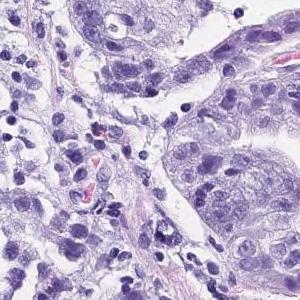
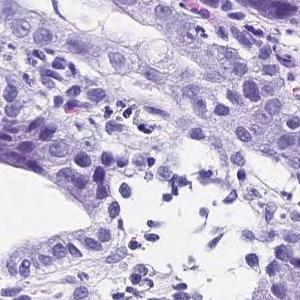
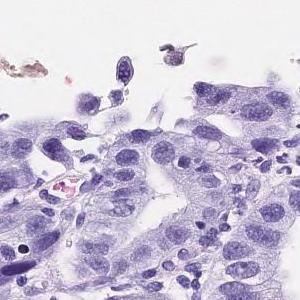
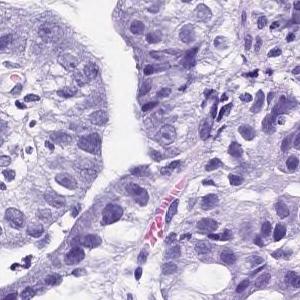
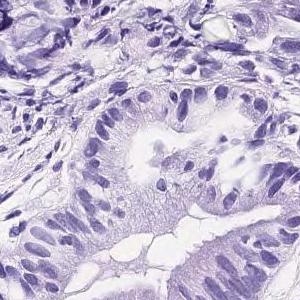
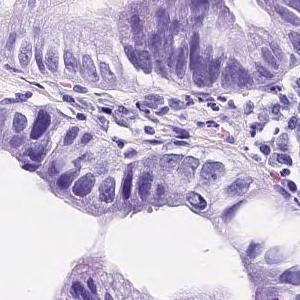
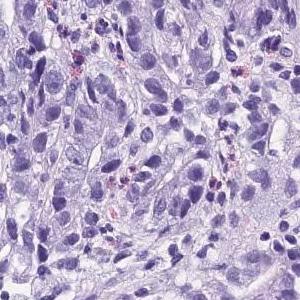
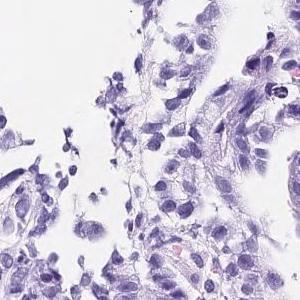
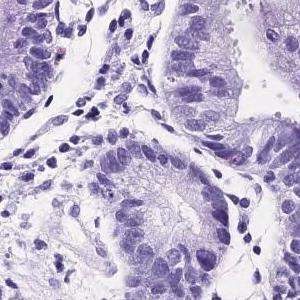
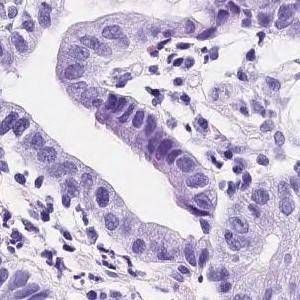
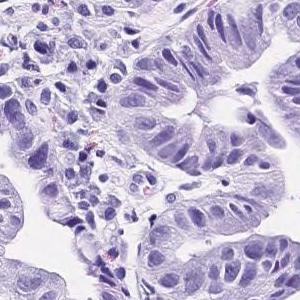
Hematoxylin and eosin stain; scanned at ×20; 11 tiles from the same stomach biopsy slide; each 300 × 300 pixels.
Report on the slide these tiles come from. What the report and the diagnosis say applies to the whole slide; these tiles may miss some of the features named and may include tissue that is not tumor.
Tumor tissue consisting of medium-sized and irregular ducts is observed infiltrating in the superficial epithelium. Tumor cells are highly columnar, with nuclei aligned basolaterally and polarized. Well differentiated tubular adenocarcinoma.
